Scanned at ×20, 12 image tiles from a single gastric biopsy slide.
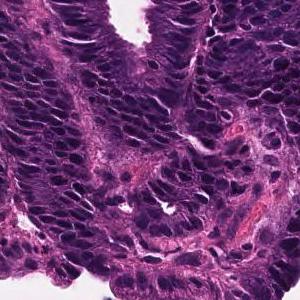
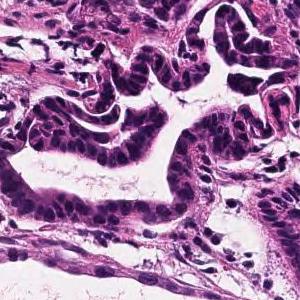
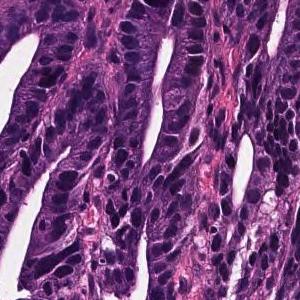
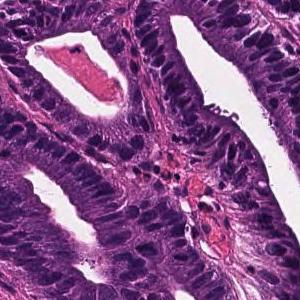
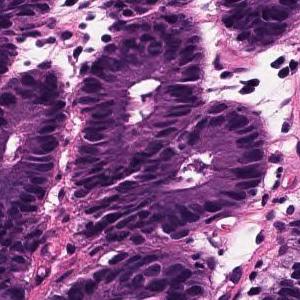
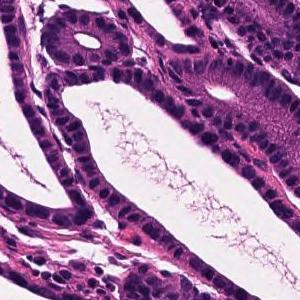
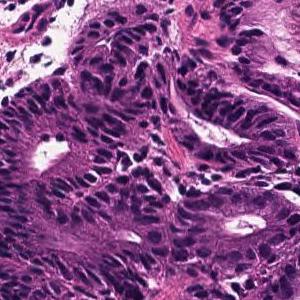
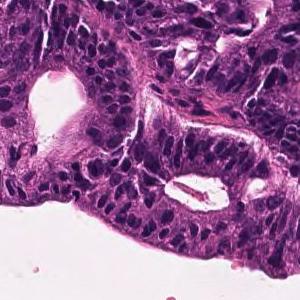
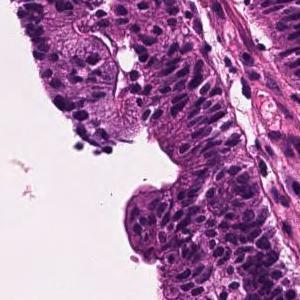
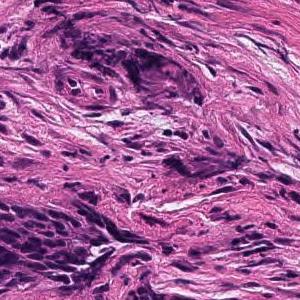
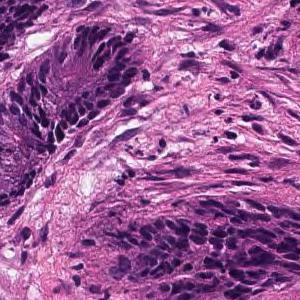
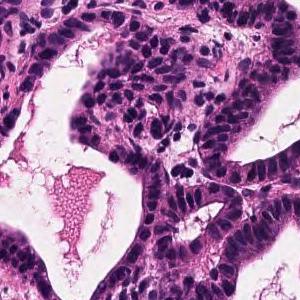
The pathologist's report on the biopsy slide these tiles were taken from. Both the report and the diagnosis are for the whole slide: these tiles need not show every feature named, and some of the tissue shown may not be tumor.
Tumor tissue that remains within the superficial epithelium and is infiltrated by large papillary or irregular ducts that fuse with each other is observed. Well differentiated tubular adenocarcinoma
